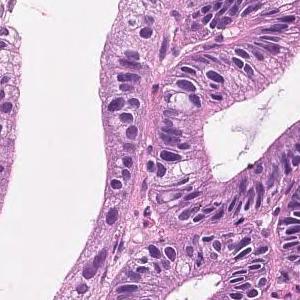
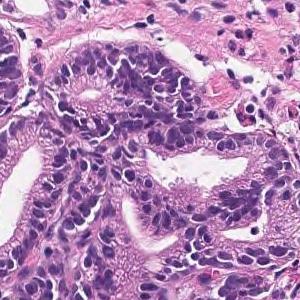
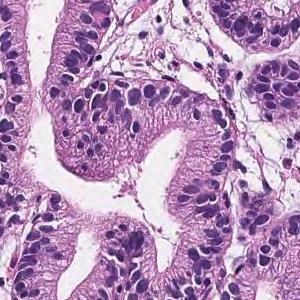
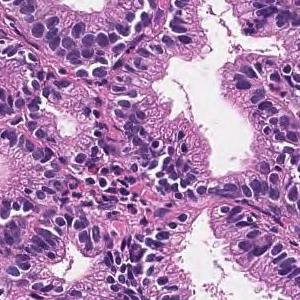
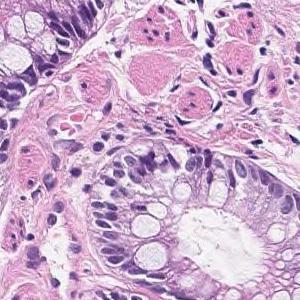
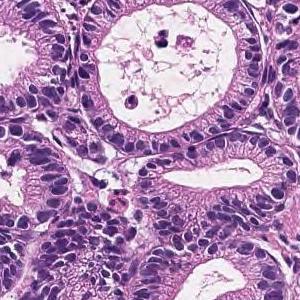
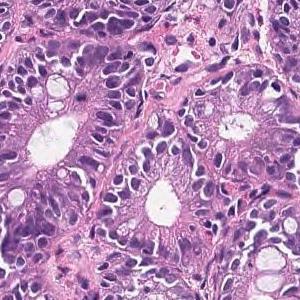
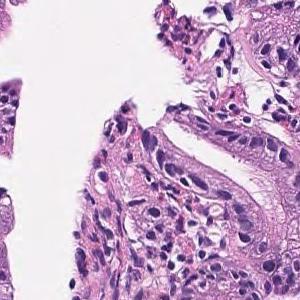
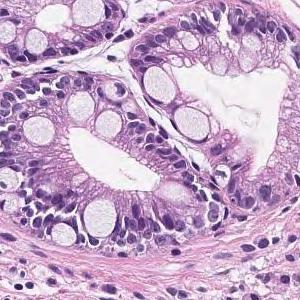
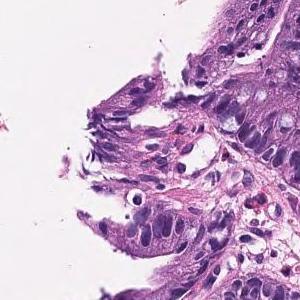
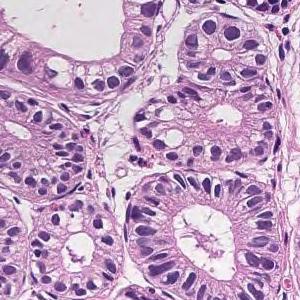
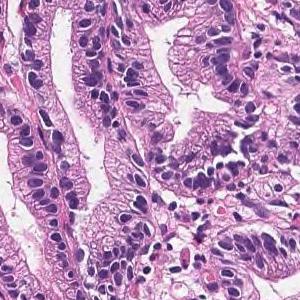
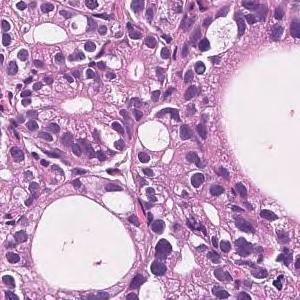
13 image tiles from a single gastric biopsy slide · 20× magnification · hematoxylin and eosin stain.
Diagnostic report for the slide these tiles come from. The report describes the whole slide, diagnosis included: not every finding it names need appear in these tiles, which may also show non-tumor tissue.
In the superficial epithelium, tumor tissue that invades by forming medium-sized to small, irregular ducts is observed. Well differentiated tubular adenocarcinoma.
